4 tiles from the same stomach biopsy slide.
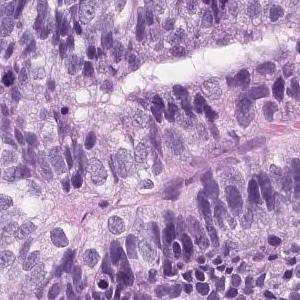
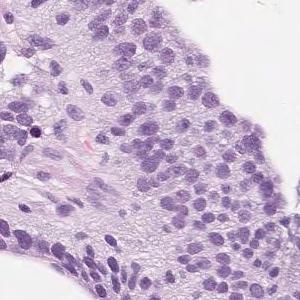
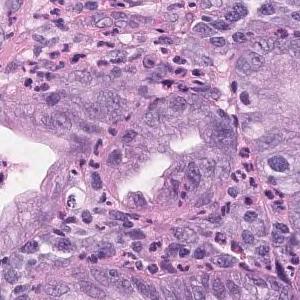
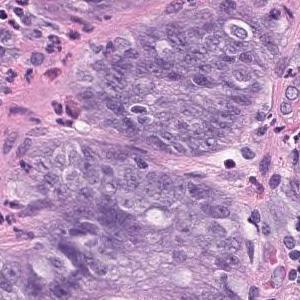
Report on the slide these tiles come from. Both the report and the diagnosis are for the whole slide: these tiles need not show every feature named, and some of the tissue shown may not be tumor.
Tumor tissue in which highly columnar atypical epithelial cells with nuclear enlargement and increased nuclear chromatin show papillary to papillary ductal structure and proliferate is observed. Papillary adenocarcinoma.
